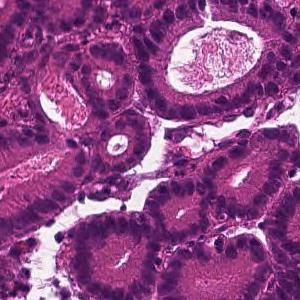
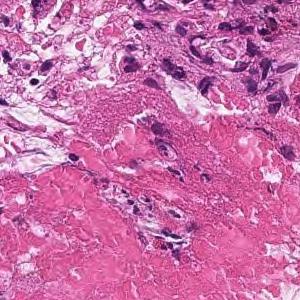
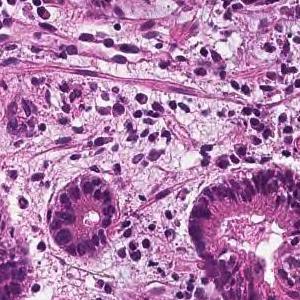
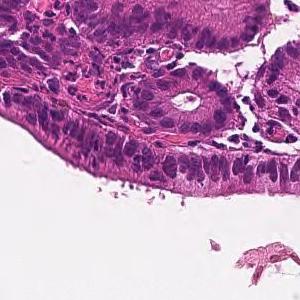
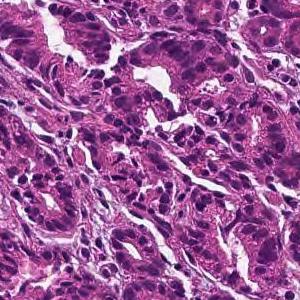
5 patches cut from one gastric biopsy slide · 300 × 300 pixels each · hematoxylin and eosin stain.
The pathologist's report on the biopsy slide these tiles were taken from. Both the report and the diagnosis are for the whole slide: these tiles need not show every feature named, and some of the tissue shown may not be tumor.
From the superficial epithelium to the muscularis mucosae, tumor tissue consisting of medium-sized and irregular glandular ducts infiltrating is observed. Well differentiated tubular adenocarcinoma
